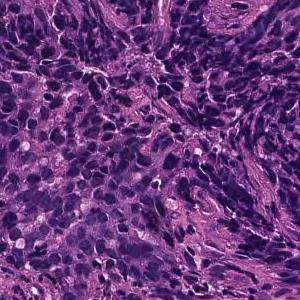
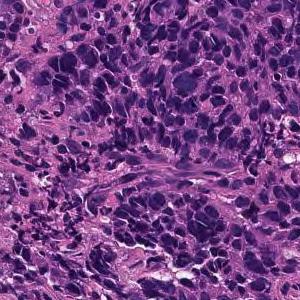
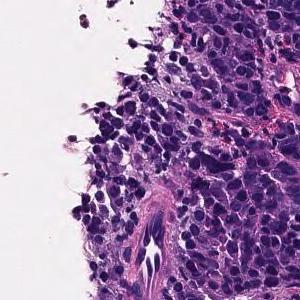
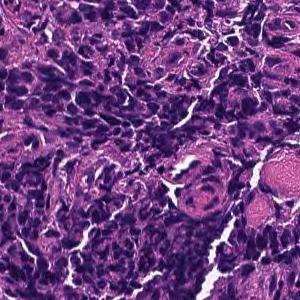
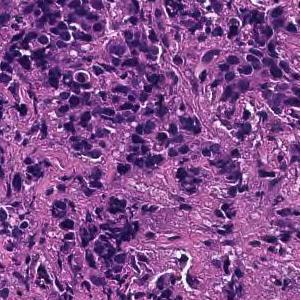
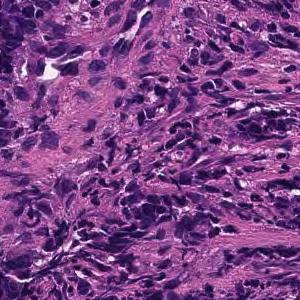
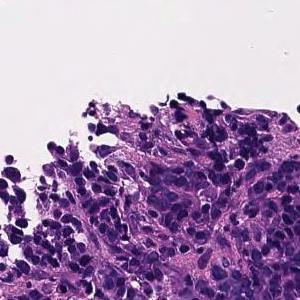
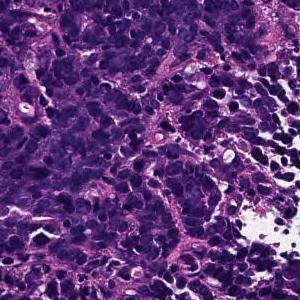
8 tiles cut from one stomach biopsy slide, H&E.
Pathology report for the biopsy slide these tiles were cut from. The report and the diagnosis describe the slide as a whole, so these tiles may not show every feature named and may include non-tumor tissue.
Tumor tissue consisting of cord-like or small, irregular glandular ducts fused and infiltrated is observed in the superficial epithelium. Poorly differentiated adenocarcinoma, non-solid type
The term "non-solid type" comes from the Japanese Classification of Gastric Carcinoma.
